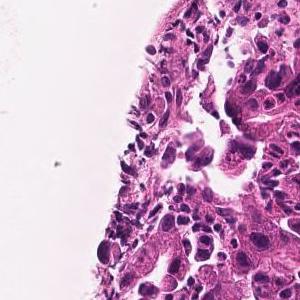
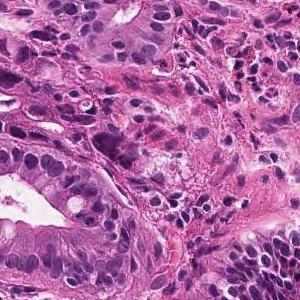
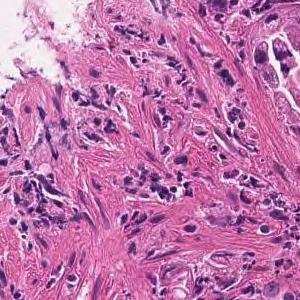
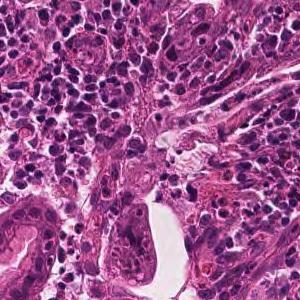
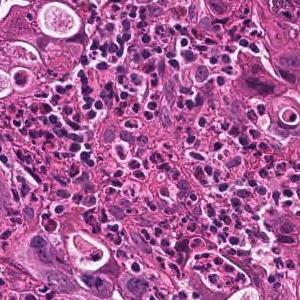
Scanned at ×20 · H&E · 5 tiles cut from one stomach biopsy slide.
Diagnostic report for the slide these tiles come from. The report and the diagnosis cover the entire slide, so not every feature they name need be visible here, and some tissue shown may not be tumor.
Medium to small, irregular glandular ducts are formed in the superficial epithelium, and in some cases, the glandular ducts are fused to show solid alveolar lesions and infiltrating tumor tissue is observed. Moderately to poorly differentiated adenocarcinoma.
